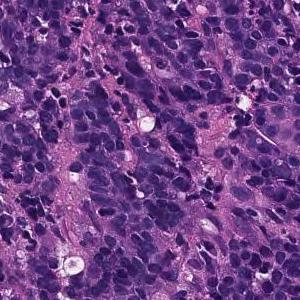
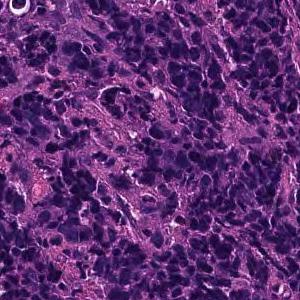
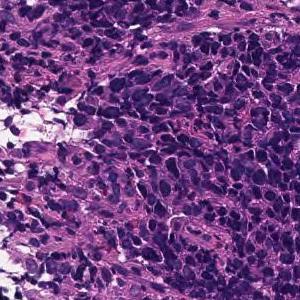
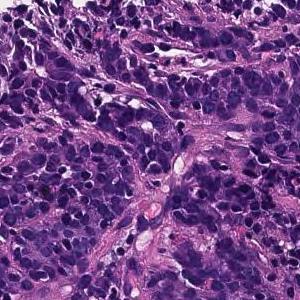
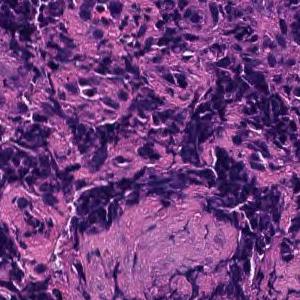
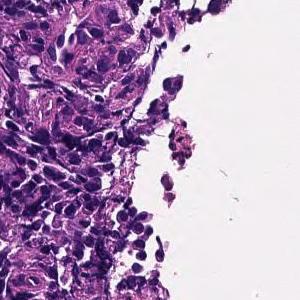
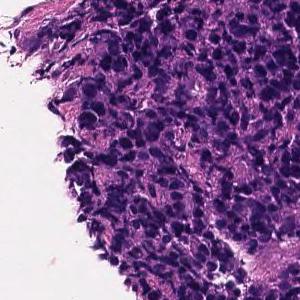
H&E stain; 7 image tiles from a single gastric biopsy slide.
Diagnostic report for the slide these tiles come from. The report describes the whole slide, diagnosis included: not every finding it names need appear in these tiles, which may also show non-tumor tissue.
Tumor tissue consisting of cord-like or small, irregular glandular ducts fused and infiltrated is observed in the superficial epithelium. Poorly differentiated adenocarcinoma, non-solid type
"Non-solid type" is a category of the Japanese Classification of Gastric Carcinoma.
